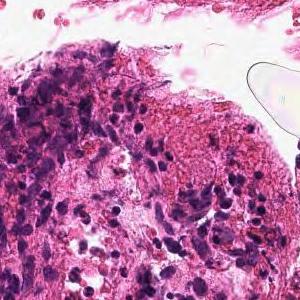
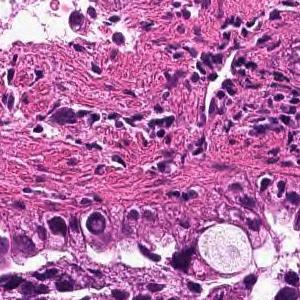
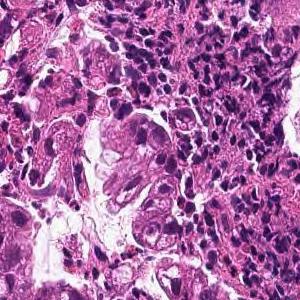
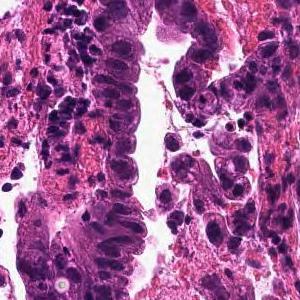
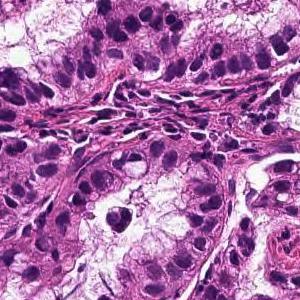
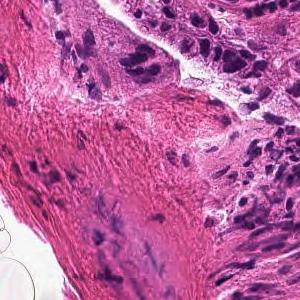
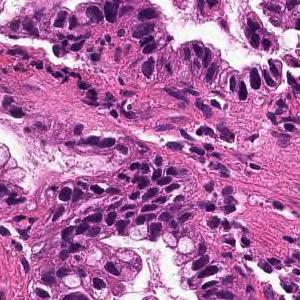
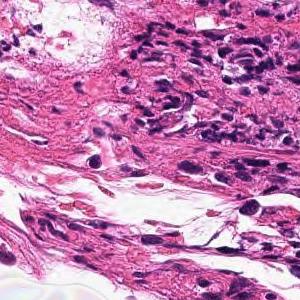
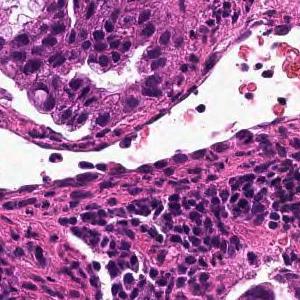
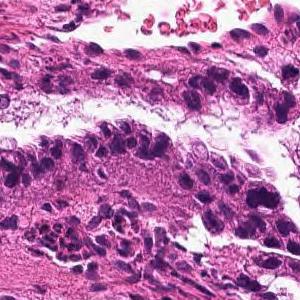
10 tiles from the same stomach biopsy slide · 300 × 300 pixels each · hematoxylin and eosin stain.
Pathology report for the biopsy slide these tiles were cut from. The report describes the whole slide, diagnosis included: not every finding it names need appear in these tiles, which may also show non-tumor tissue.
From the superficial epithelium to the muscularis mucosae, tumor tissue infiltrating by forming medium-sized irregular gland ducts is observed. Well differentiated tubular adenocarcinoma
